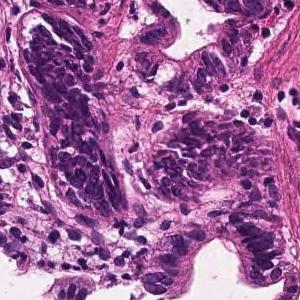
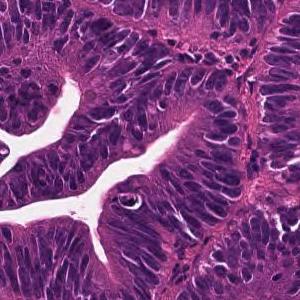
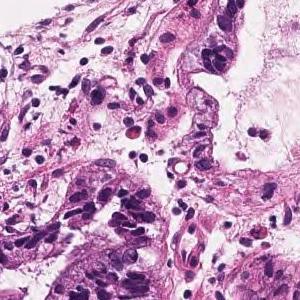
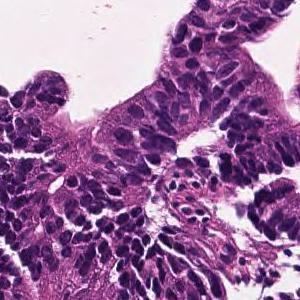
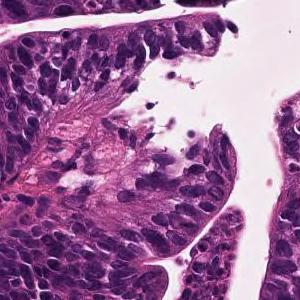
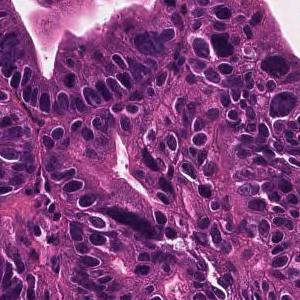
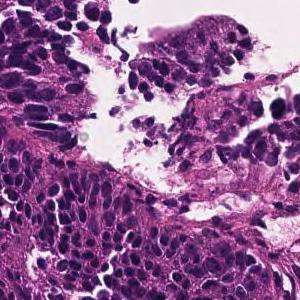
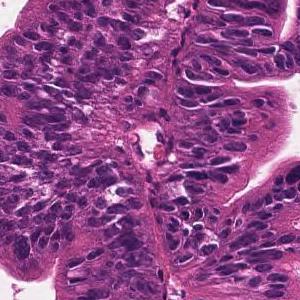
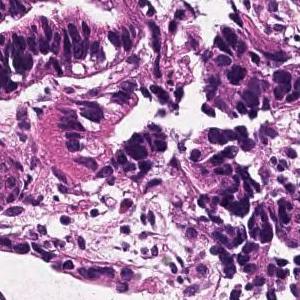
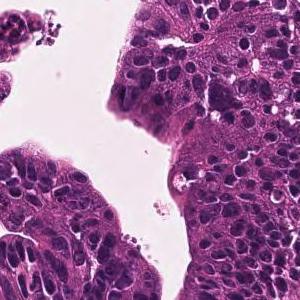
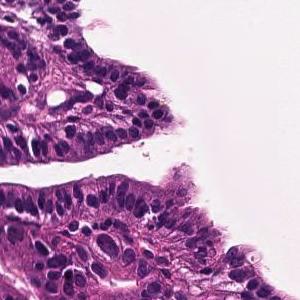
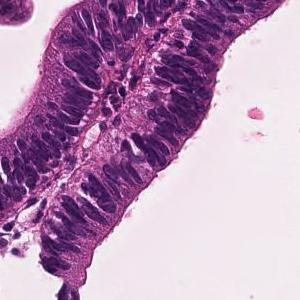
12 patches cut from one gastric biopsy slide · each 300 × 300 pixels · 20× magnification · H&E.
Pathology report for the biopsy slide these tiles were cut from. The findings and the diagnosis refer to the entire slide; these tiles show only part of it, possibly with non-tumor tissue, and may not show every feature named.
A large irregular tubular structure is exhibited in the epithelium, and tumor tissue that partially fuses and infiltrates and proliferates is observed. Large columnar tumor cells exhibit enlarged nucleus, hyperchromatism, and mitotic figures. Well differentiated tubular adenocarcinoma
